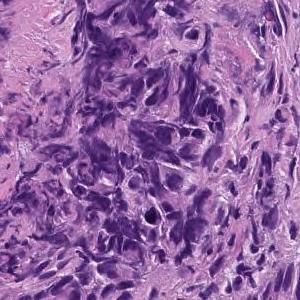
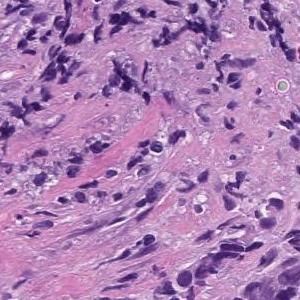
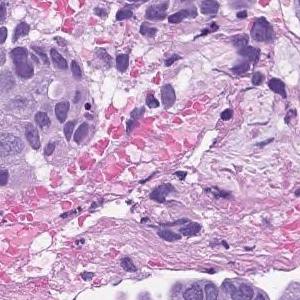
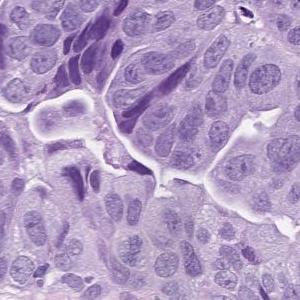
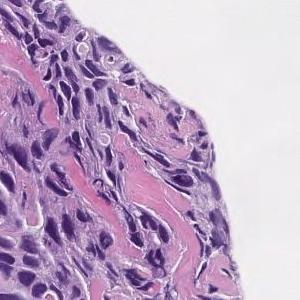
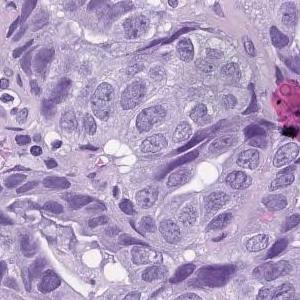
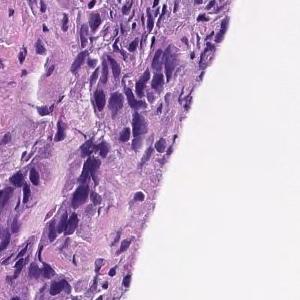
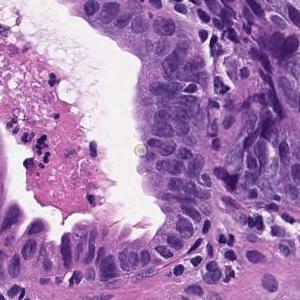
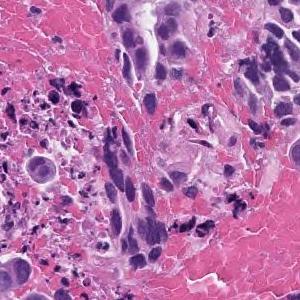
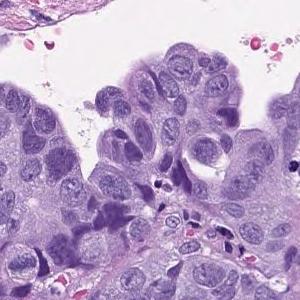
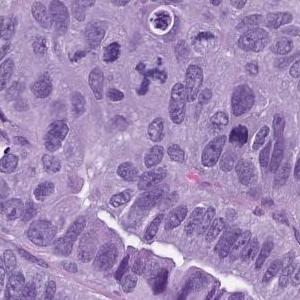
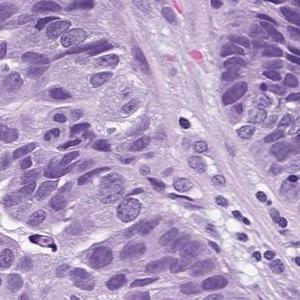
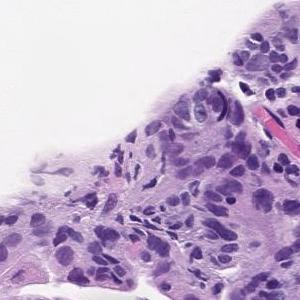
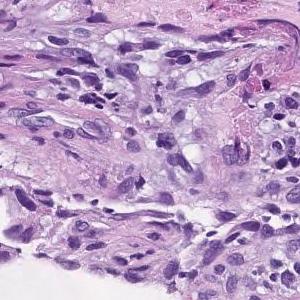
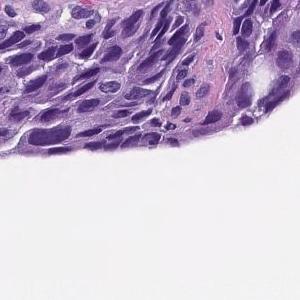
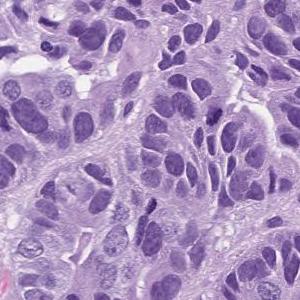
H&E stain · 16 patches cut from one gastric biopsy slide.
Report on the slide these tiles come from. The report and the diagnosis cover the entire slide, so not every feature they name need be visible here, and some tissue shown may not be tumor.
In the superficial epithelium, tumor tissue that invades by forming medium-sized to small, irregular ducts is observed. moderately differentiated tubular adenocarcinoma.
